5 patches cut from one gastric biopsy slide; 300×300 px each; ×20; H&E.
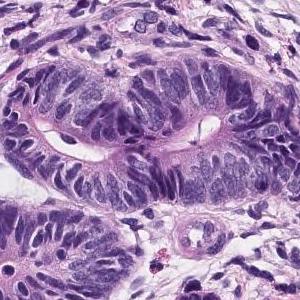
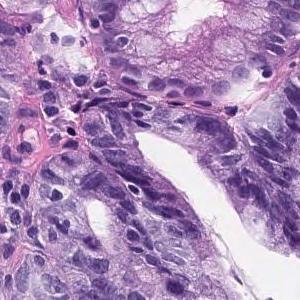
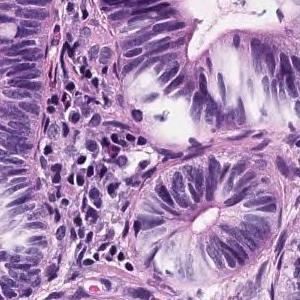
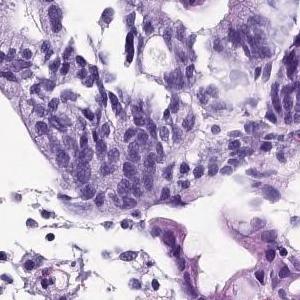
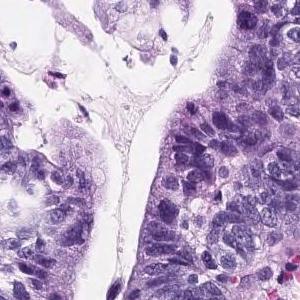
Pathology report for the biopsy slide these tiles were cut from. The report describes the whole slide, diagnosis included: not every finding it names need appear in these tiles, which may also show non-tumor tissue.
On the superficial epithelium, tumor tissue consisting of medium-sized to large-sized, round or irregular glandular duct growth images is observed. Well differentiated adenocarcinoma.
Histological subtype: Well differentiated tubular adenocarcinoma.
